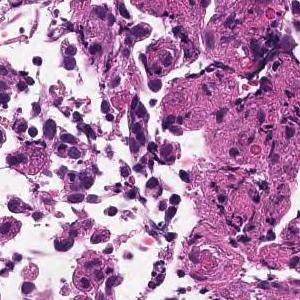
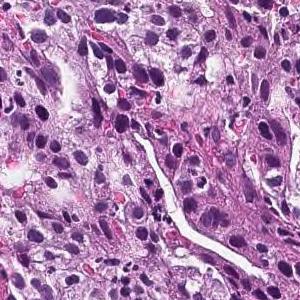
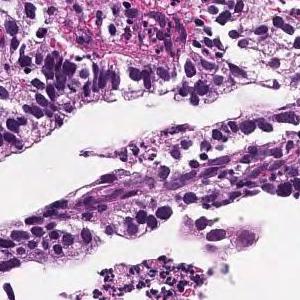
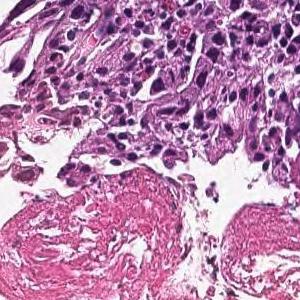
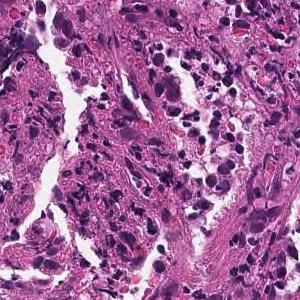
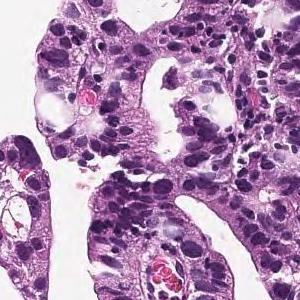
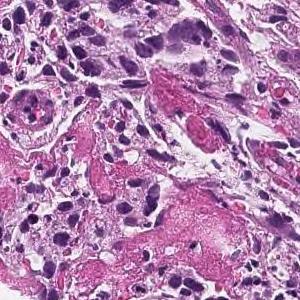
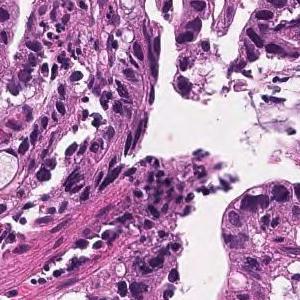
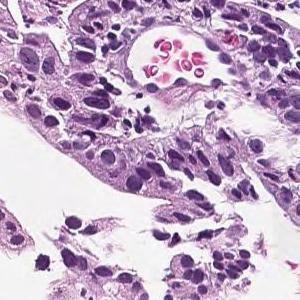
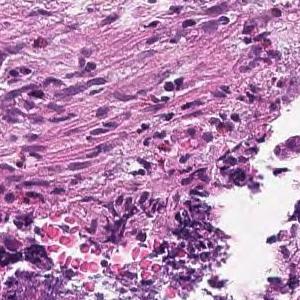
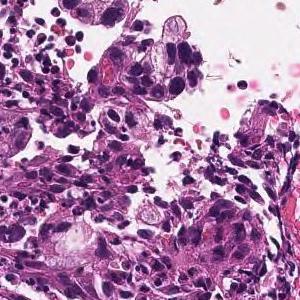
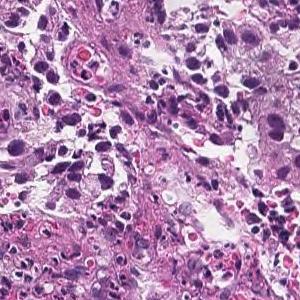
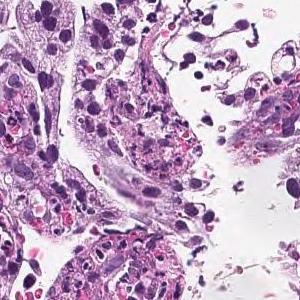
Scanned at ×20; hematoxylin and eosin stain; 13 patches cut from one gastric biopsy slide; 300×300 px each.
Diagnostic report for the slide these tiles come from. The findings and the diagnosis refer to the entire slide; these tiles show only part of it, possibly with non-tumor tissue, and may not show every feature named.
Tumor tissue consisting of medium-sized, cord-like or irregular glandular infiltration is observed in the superficial epithelium. Poorly differentiated adenocarcinoma, non-solid type or moderately differentiated tubular adenocarcinoma
Subtype: Moderately to poorly differentiated adenocarcinoma.
"Non-solid type" is a category of the Japanese Classification of Gastric Carcinoma.
